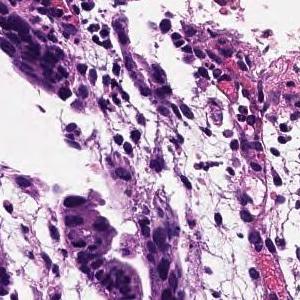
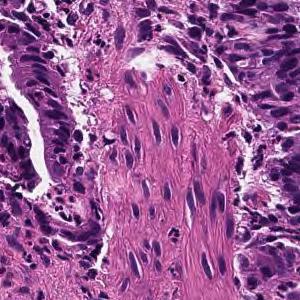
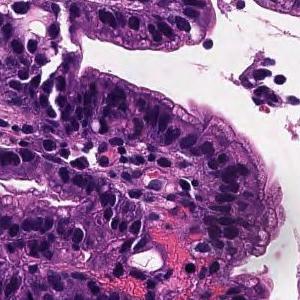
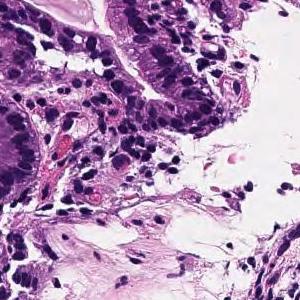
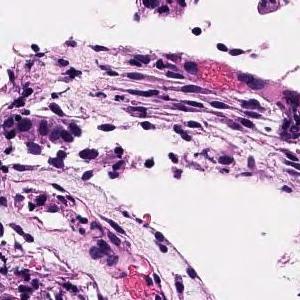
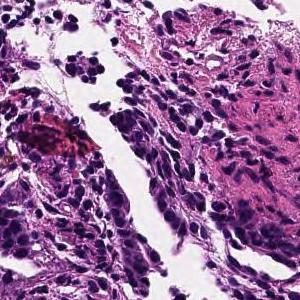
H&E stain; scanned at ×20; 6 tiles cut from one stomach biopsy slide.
The pathologist's report on the biopsy slide these tiles were taken from. The report describes the whole slide, diagnosis included: not every finding it names need appear in these tiles, which may also show non-tumor tissue.
On the superficial epithelium, tumor tissue that infiltrates by forming medium-sized papillary or small irregular ducts is observed. Papillary adenocarcinoma
